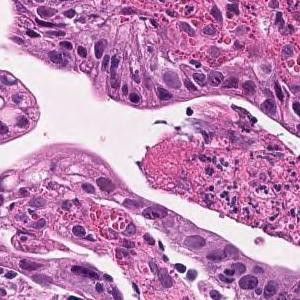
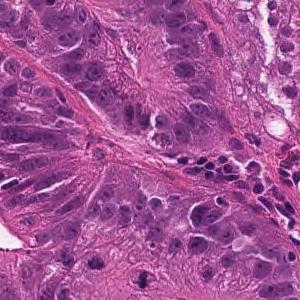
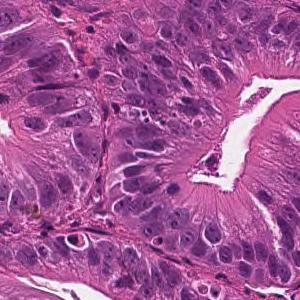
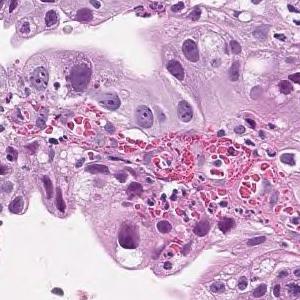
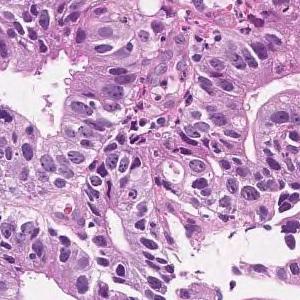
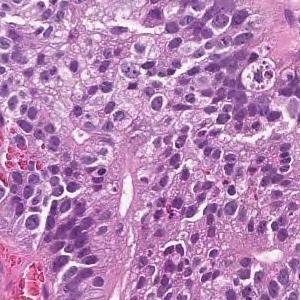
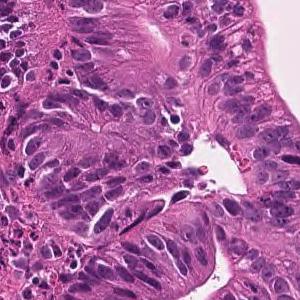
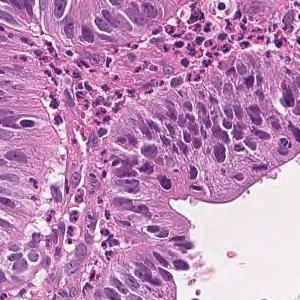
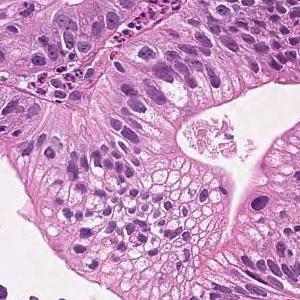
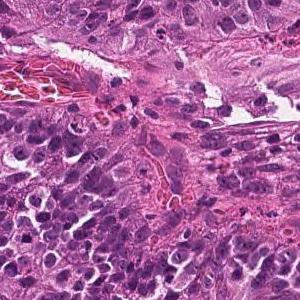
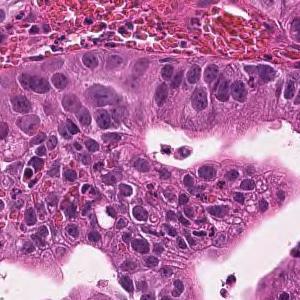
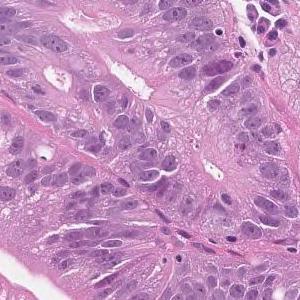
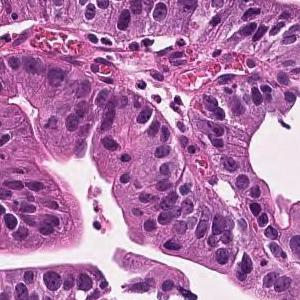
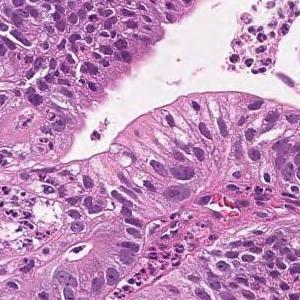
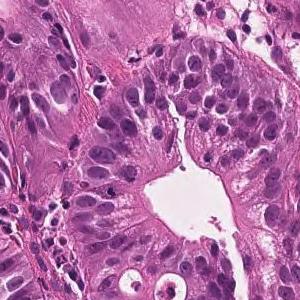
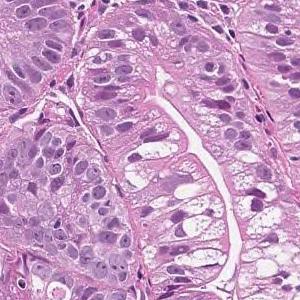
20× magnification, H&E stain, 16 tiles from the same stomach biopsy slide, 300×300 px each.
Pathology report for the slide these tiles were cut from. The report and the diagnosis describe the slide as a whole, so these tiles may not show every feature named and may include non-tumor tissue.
Tumor cells are large, highly columnar, large club-shaped nuclei, and are associated with chromatin aggregation. Papillary adenocarcinoma.
